7 patches cut from one gastric biopsy slide; H&E; 20× magnification.
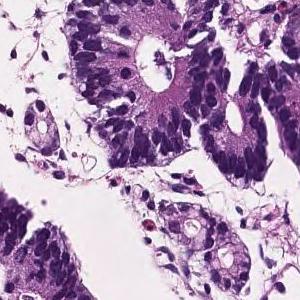
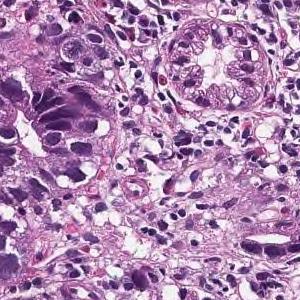
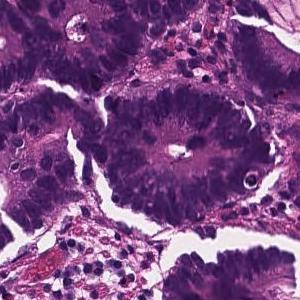
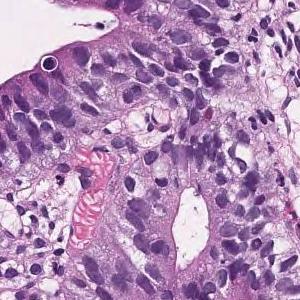
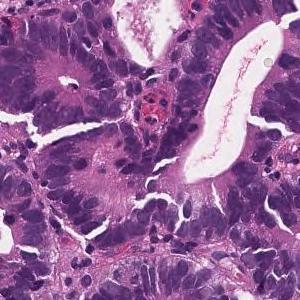
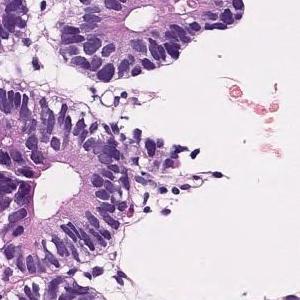
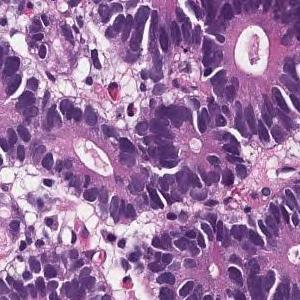
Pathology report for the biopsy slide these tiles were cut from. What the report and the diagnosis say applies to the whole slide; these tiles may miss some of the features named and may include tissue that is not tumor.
On the superficial epithelium, tumor tissue consisting of large, irregular glandular ducts partially fused and infiltrated is observed. Well to moderately differentiated tubular adenocarcinoma (well differentiated tubular adenocarcinoma, moderately differentiated tubular adenocarcinoma)
Histological subtype: Well to moderately differentiated tubular adenocarcinoma.
